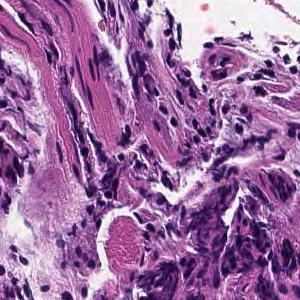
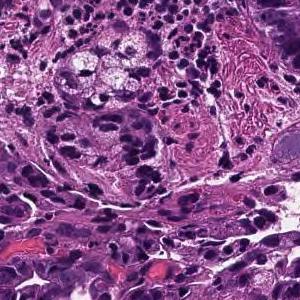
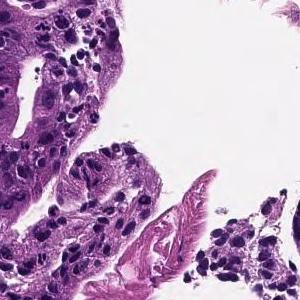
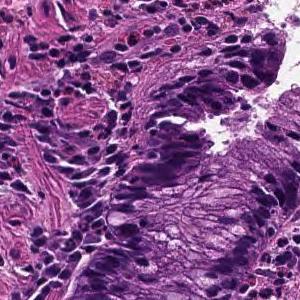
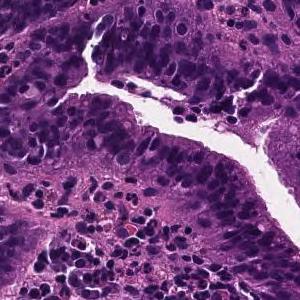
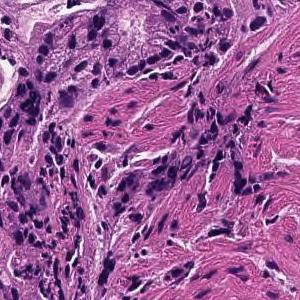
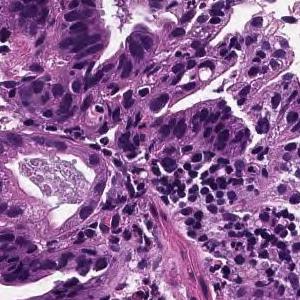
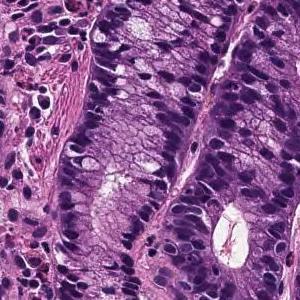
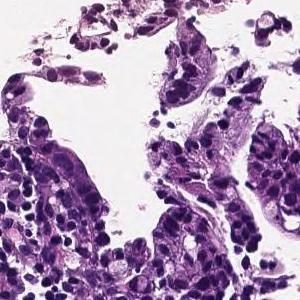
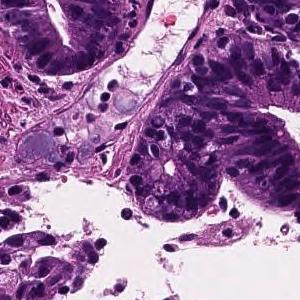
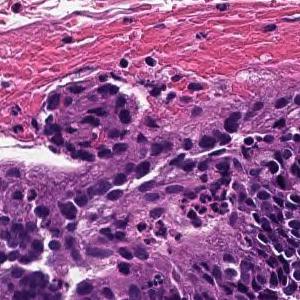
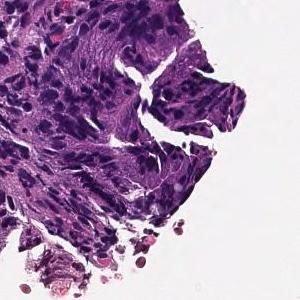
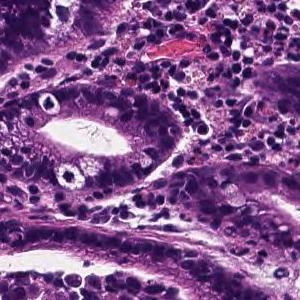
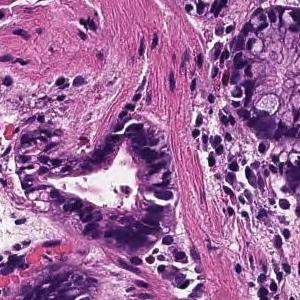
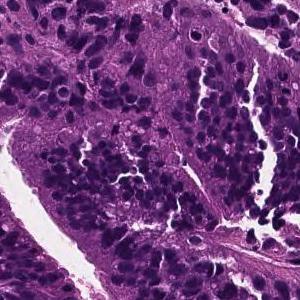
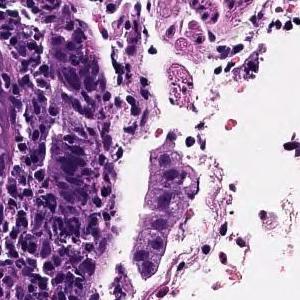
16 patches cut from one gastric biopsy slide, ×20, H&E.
Report on the slide these tiles come from. Both the report and the diagnosis are for the whole slide: these tiles need not show every feature named, and some of the tissue shown may not be tumor.
From the superficial epithelium to the muscularis mucosae, tumor tissue consisting of medium-sized and irregular glandular ducts infiltrating is observed. Well differentiated tubular adenocarcinoma
